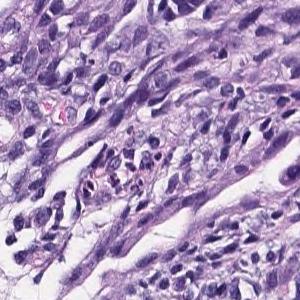
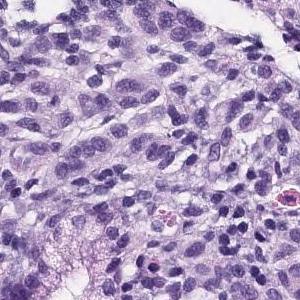
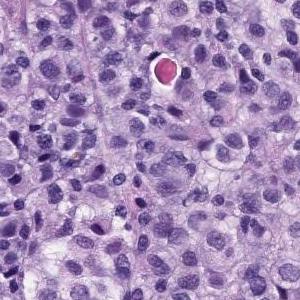
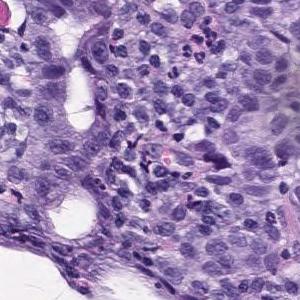
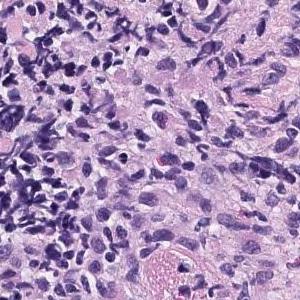
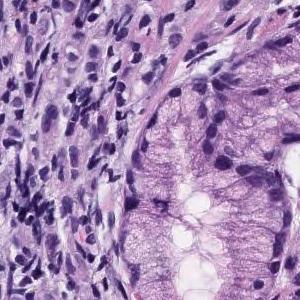
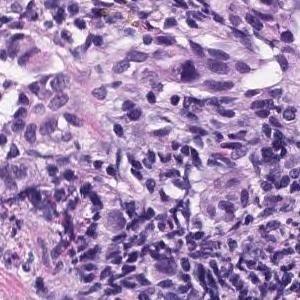
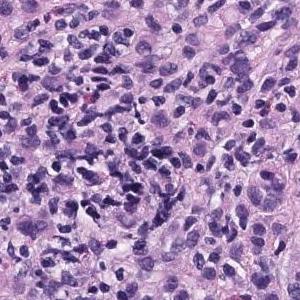
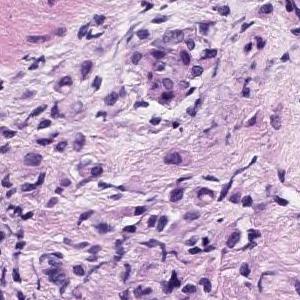
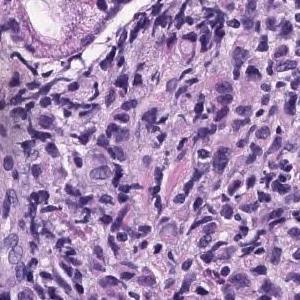
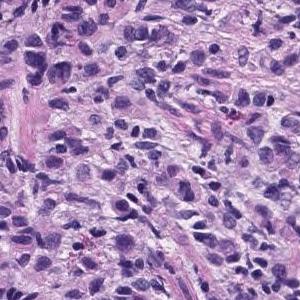
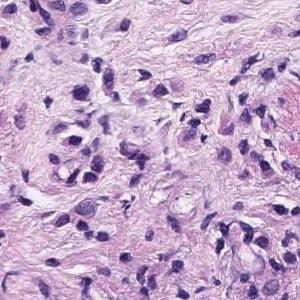
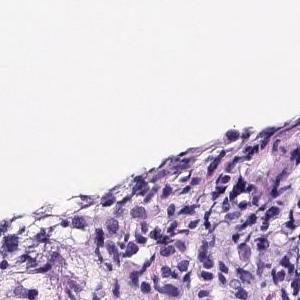
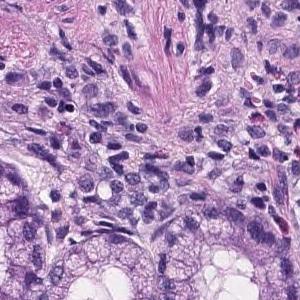
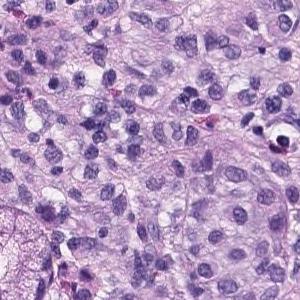
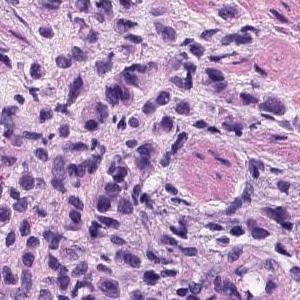
16 tiles cut from one stomach biopsy slide, 300 × 300 pixels each, H&E stain, 20× magnification.
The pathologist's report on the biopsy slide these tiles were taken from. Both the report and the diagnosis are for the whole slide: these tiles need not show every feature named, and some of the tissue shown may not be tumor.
There are medium-sized atypical cells with marked nuclear swelling and increased N/C ratio, which grow into solid or isolated scattered cells. Poorly differentiated adenocarcinoma
Histological subtype: Poorly differentiated adenocarcinoma, solid type (Japanese Classification of Gastric Carcinoma). The WHO 2019 equivalent is tubular adenocarcinoma, poorly differentiated.
